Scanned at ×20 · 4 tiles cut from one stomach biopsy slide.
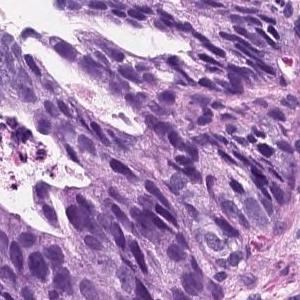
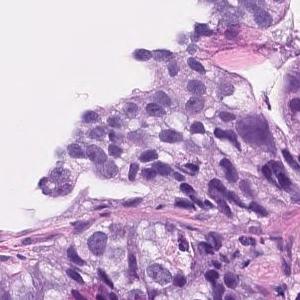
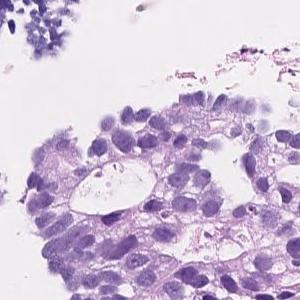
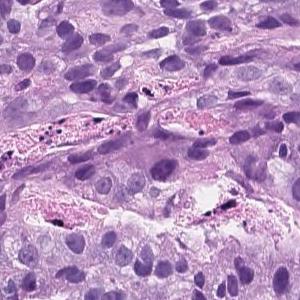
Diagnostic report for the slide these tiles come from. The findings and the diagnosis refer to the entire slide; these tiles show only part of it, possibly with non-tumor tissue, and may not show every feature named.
On the superficial epithelium, tumor tissue consisting of an image of large, irregular glandular ducts partially fused and infiltrated is observed. Well to moderately differentiated tubular adenocarcinoma
